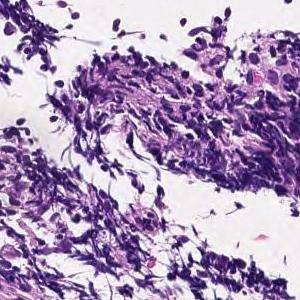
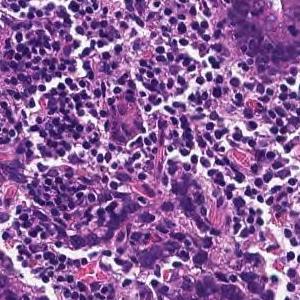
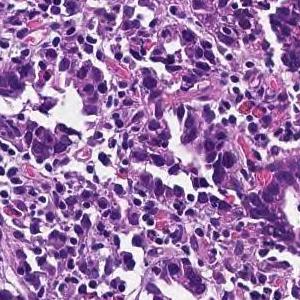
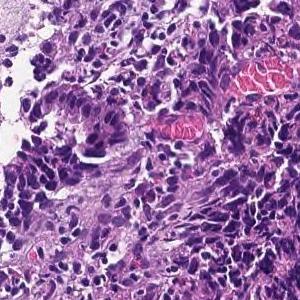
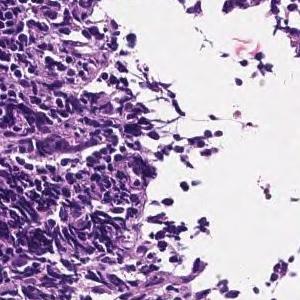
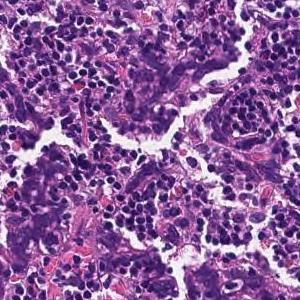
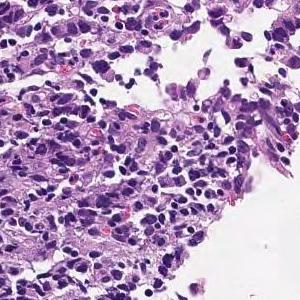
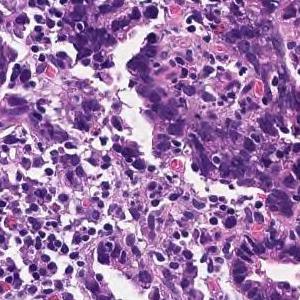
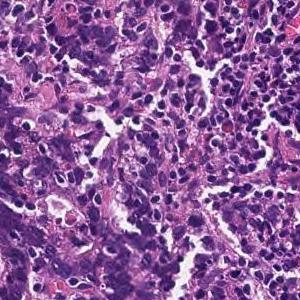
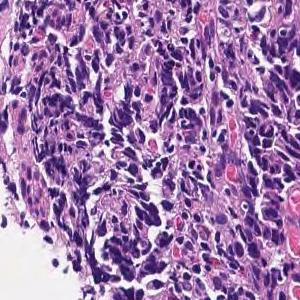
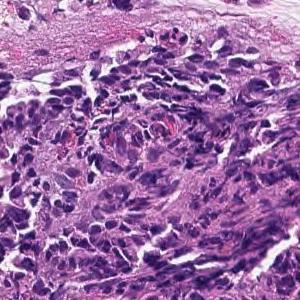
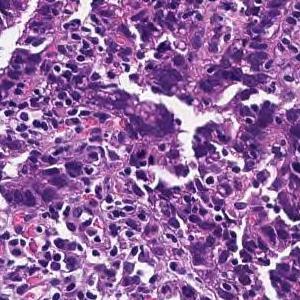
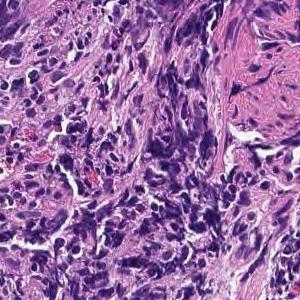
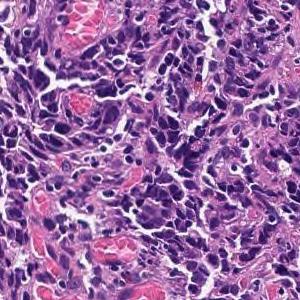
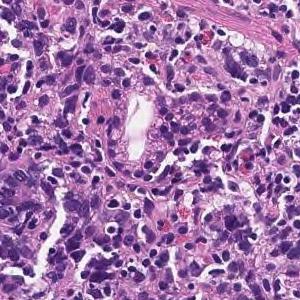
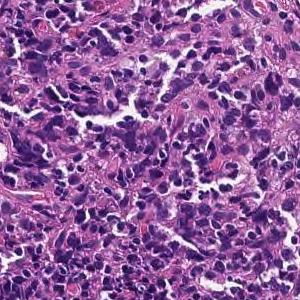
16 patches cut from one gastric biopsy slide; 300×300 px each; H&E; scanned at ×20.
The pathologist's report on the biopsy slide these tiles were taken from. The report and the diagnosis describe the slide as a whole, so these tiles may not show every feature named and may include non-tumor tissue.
Tumor tissue consisting of medium-sized, cord-like or irregular glandular infiltration is observed in the superficial epithelium. Poorly differentiated adenocarcinoma, non-solid type or moderately differentiated tubular adenocarcinoma
Histological subtype: Moderately to poorly differentiated adenocarcinoma.
The non-solid type named here is a Japanese Classification of Gastric Carcinoma category.
